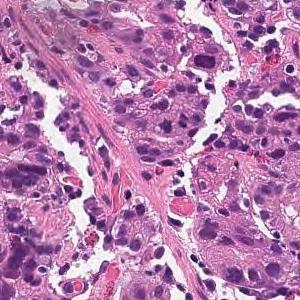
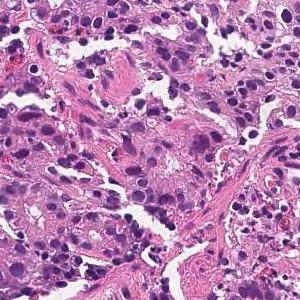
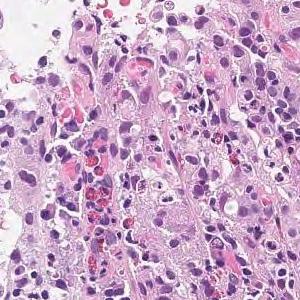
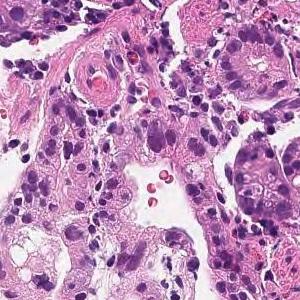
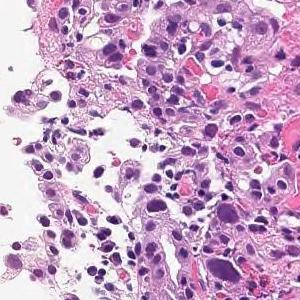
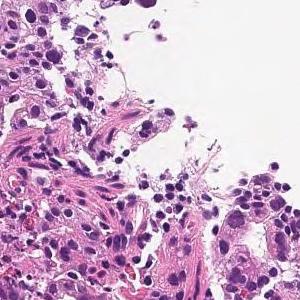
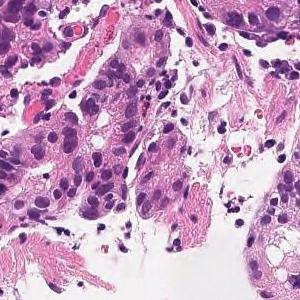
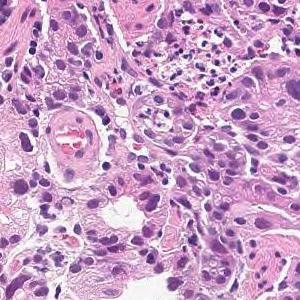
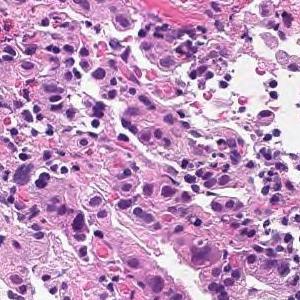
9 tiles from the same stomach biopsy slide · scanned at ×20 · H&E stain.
Pathology report for the biopsy slide these tiles were cut from. What the report and the diagnosis say applies to the whole slide; these tiles may miss some of the features named and may include tissue that is not tumor.
In the superficial epithelium, tumor tissue that invades by forming medium-sized to small, irregular ducts is observed. moderately differentiated tubular adenocarcinoma.
